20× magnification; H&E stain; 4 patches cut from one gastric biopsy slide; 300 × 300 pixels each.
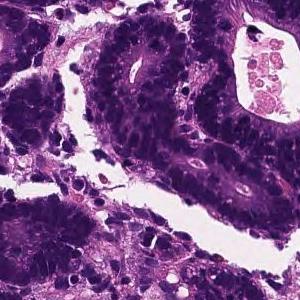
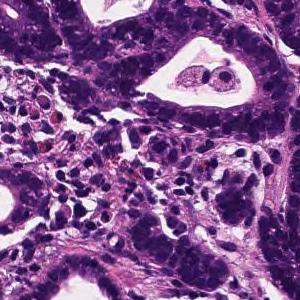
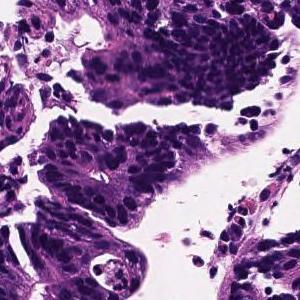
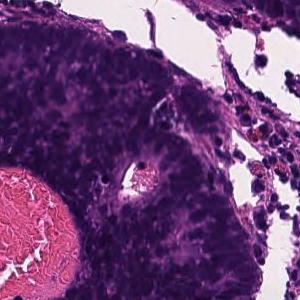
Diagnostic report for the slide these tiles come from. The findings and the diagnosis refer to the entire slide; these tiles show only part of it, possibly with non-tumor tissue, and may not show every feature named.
On the superficial epithelium, tumor tissue consisting of medium-sized and irregular glandular ducts partially fused and infiltrated is observed. Well to moderately differentiated tubular adenocarcinoma (well differentiated tubular adenocarcinoma, moderately differentiated tubular adenocarcinoma)
Classified as well to moderately differentiated tubular adenocarcinoma.
